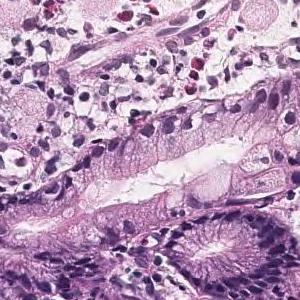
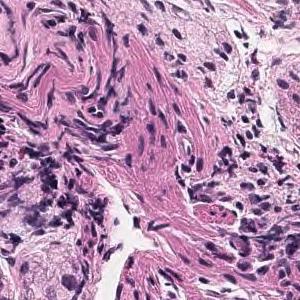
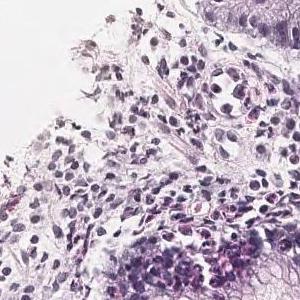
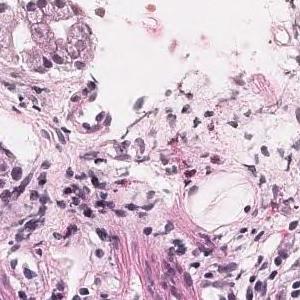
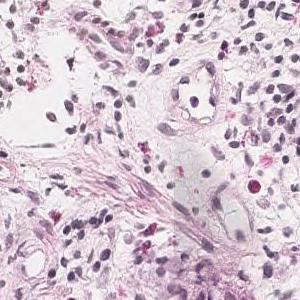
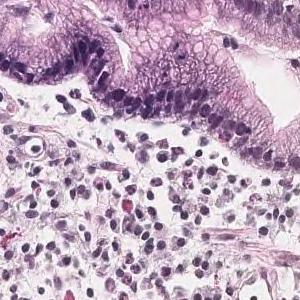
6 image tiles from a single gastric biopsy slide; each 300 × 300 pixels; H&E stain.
Pathology report for the slide these tiles were cut from. The findings and the diagnosis refer to the entire slide; these tiles show only part of it, possibly with non-tumor tissue, and may not show every feature named.
Tumor tissue is observed in which atypical epithelial cells with mucus in the vesicles proliferate while being isolated. Signet ring cell carcinoma
